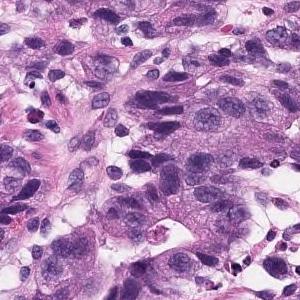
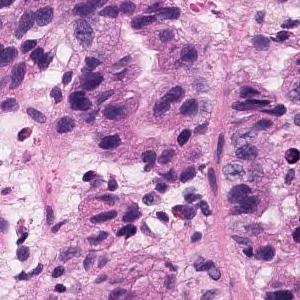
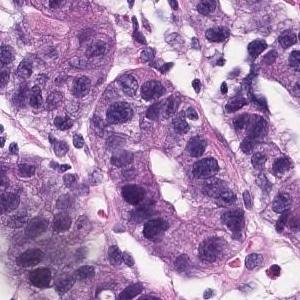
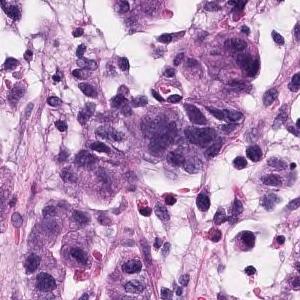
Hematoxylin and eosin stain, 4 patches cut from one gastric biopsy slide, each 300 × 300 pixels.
Pathology report for the slide these tiles were cut from. The findings and the diagnosis refer to the entire slide; these tiles show only part of it, possibly with non-tumor tissue, and may not show every feature named.
Atypical l cells with atypical nuclei forming diffuse or small irregular atypical ducts and growing. Moderately to poorly differentiated adenocarcinoma (poorly differentiated adenocarcinoma, solid type, moderately differentiated tubular adenocarcinoma)
Histologic type: Moderately to poorly differentiated adenocarcinoma.
The term "solid type" comes from the Japanese Classification of Gastric Carcinoma; the WHO 2019 equivalent is tubular adenocarcinoma, poorly differentiated.
